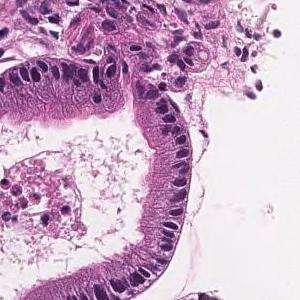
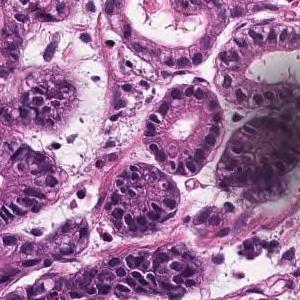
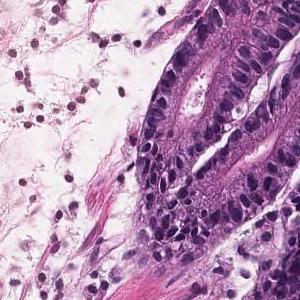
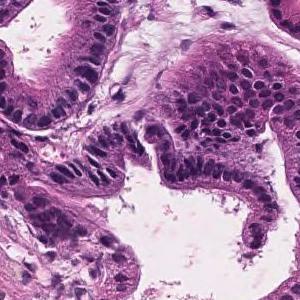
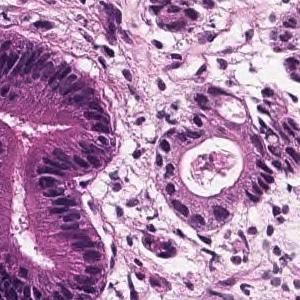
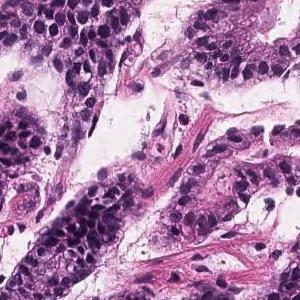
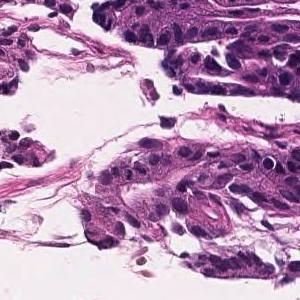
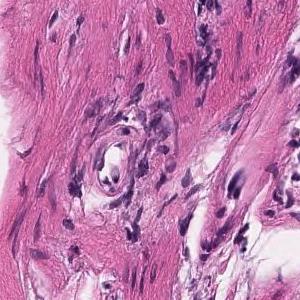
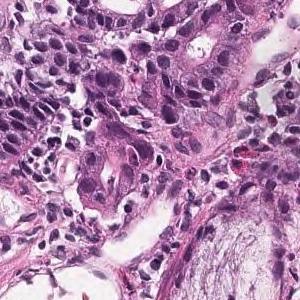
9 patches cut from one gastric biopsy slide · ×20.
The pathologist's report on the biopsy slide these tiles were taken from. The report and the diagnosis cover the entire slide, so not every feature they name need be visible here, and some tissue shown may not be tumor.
Tumor tissue with atypical epithelium showing irregular ductal or sieving ductal structure and proliferating is observed. Well to moderately differentiated tubular adenocarcinoma (well differentiated tubular adenocarcinoma-moderately differentiated tubular adenocarcinoma)
Classified as well to moderately differentiated tubular adenocarcinoma.
